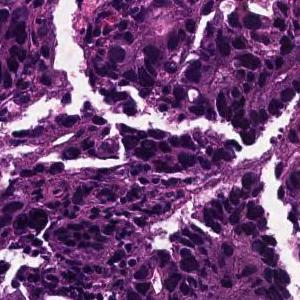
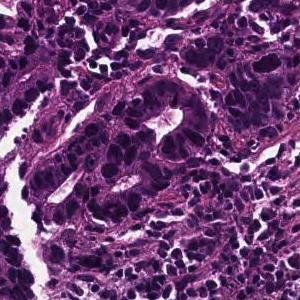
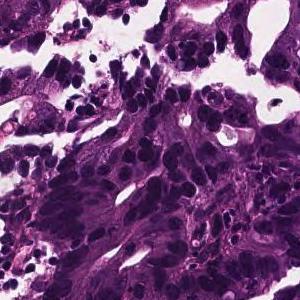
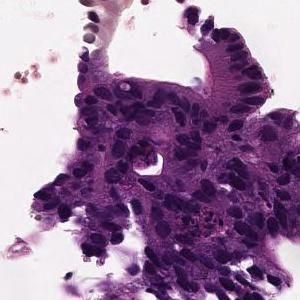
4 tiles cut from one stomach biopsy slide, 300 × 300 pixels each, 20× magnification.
Pathology report for the biopsy slide these tiles were cut from. The report and the diagnosis cover the entire slide, so not every feature they name need be visible here, and some tissue shown may not be tumor.
In the superficial epithelium, tumor tissue that invades by forming medium-sized to small, irregular ducts is observed. moderately differentiated tubular adenocarcinoma.
